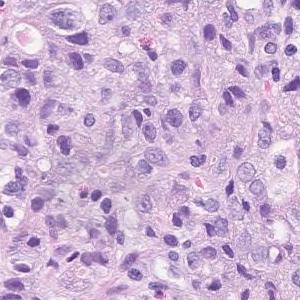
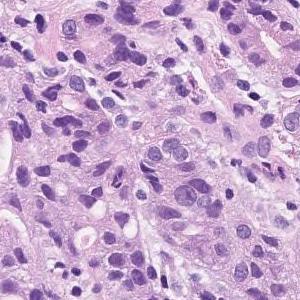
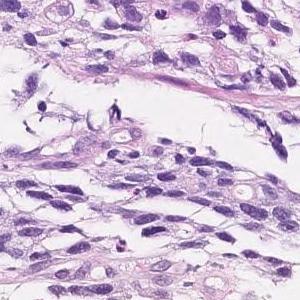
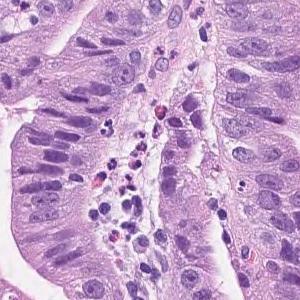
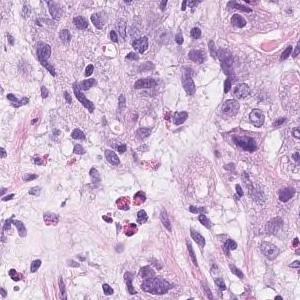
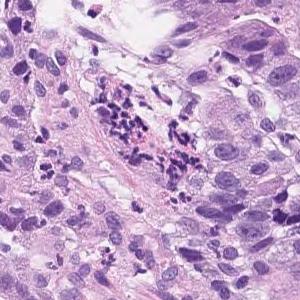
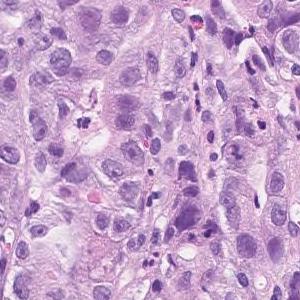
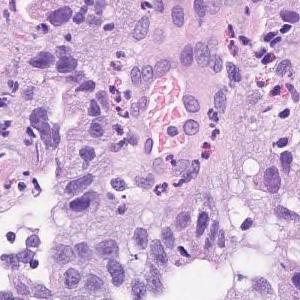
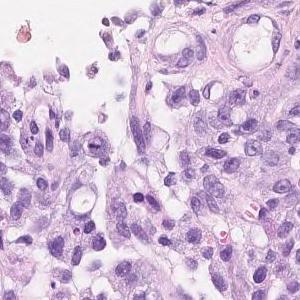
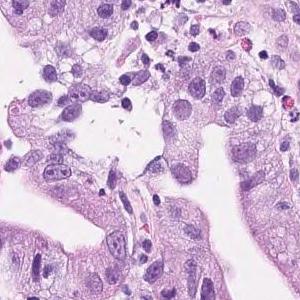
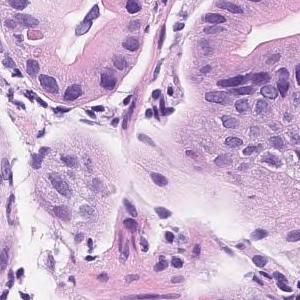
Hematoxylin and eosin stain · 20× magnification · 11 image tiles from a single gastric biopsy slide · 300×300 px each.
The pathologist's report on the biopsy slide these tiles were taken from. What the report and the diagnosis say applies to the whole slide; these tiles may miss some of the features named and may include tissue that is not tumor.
In the superficial epithelium, tumor tissue that invades by forming medium-sized to small, irregular ducts is observed. Moderately to poorly differentiated adenocarcinoma
